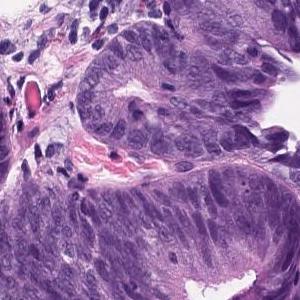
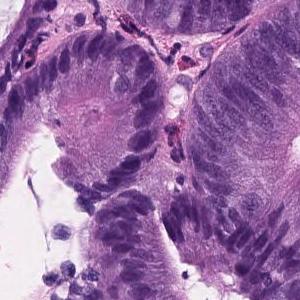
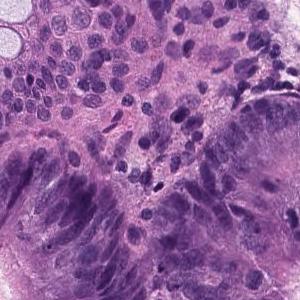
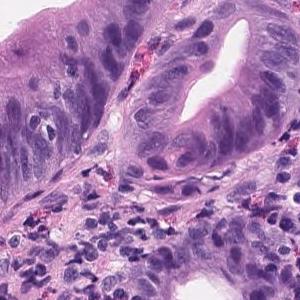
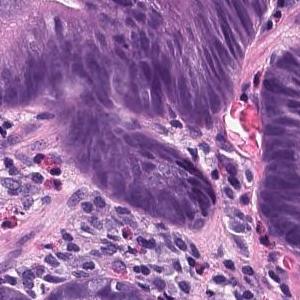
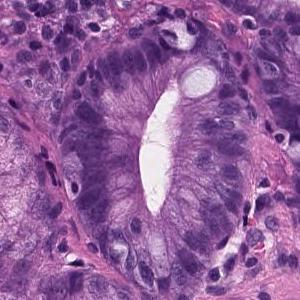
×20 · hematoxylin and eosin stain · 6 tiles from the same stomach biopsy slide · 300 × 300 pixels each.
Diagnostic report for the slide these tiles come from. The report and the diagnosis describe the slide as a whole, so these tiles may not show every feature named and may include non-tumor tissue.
On the superficial epithelium, tumor tissue with densely growing medium to large, round tubules is observed. Tumor cells are highly columnar, with nuclei aligned basolaterally and polarized. Well differentiated tubular adenocarcinoma
